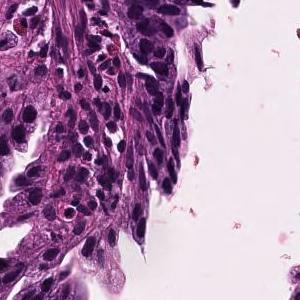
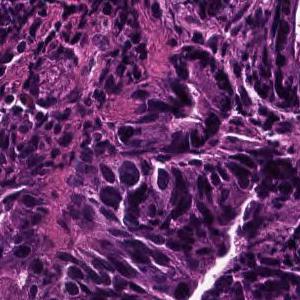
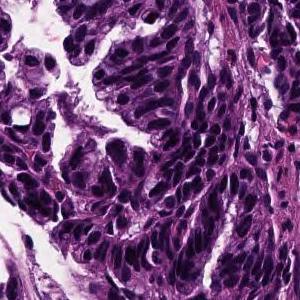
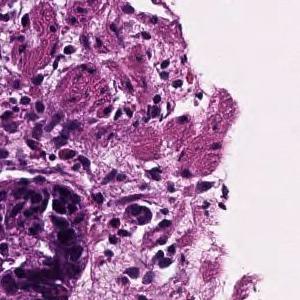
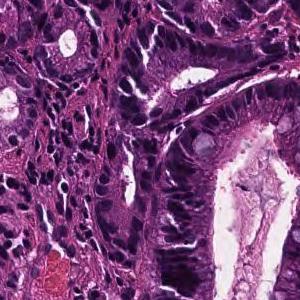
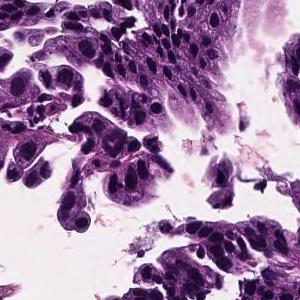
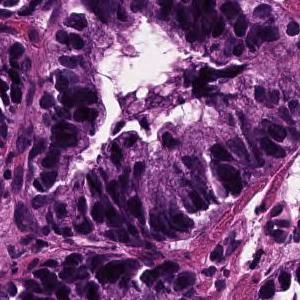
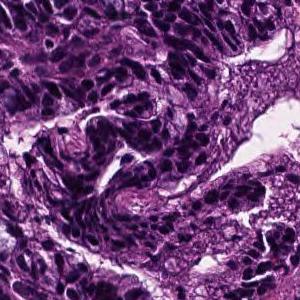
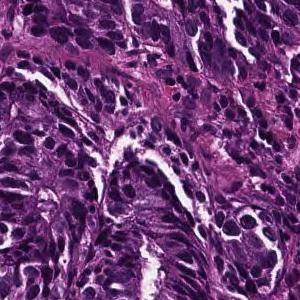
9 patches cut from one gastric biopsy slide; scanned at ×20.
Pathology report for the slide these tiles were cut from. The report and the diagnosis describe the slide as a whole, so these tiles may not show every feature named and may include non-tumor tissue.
In the superficial epithelium, tumor tissue that invades by forming medium-sized to small, irregular ducts is observed. Well differentiated tubular adenocarcinoma.
